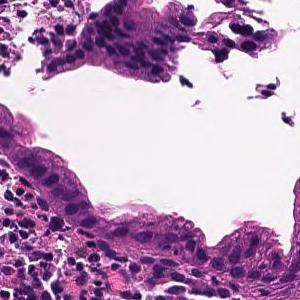
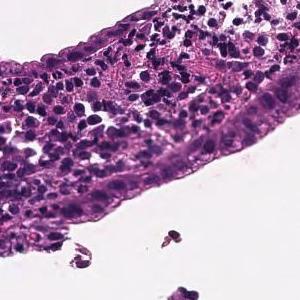
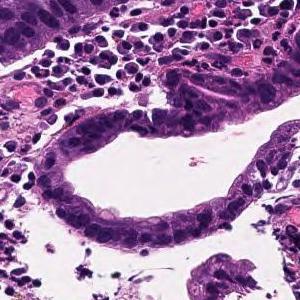
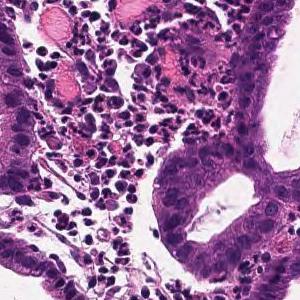
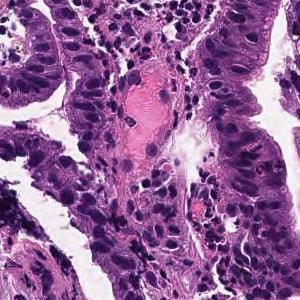
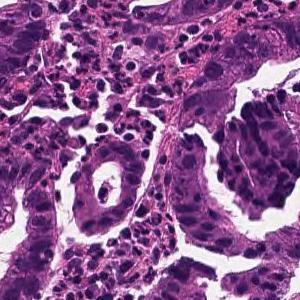
×20 · 6 tiles cut from one stomach biopsy slide · each 300 × 300 pixels.
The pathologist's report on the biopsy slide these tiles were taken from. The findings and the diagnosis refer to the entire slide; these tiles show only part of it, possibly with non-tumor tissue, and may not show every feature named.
From the superficial epithelium to the muscularis mucosae, tumor tissue consisting of medium-sized and irregular glandular ducts infiltrating is observed. Well differentiated tubular adenocarcinoma
